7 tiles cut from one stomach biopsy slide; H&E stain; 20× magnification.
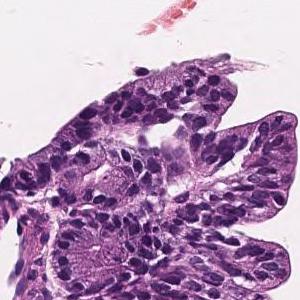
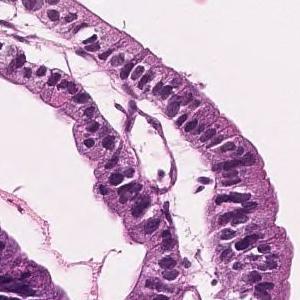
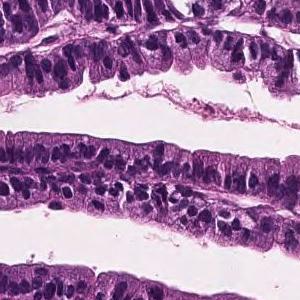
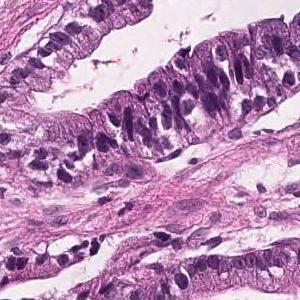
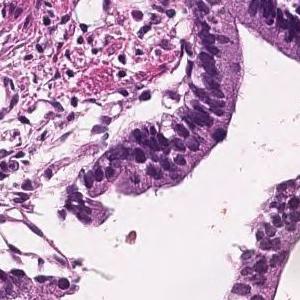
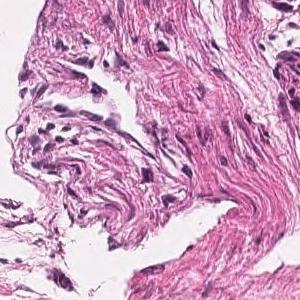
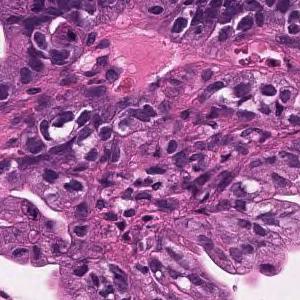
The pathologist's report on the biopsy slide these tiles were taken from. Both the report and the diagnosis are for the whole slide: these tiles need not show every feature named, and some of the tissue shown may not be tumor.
Tumor cells are large, highly columnar, large club-shaped nuclei, and are associated with chromatin aggregation. Papillary adenocarcinoma.
